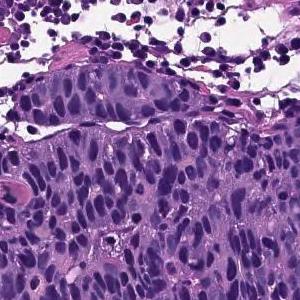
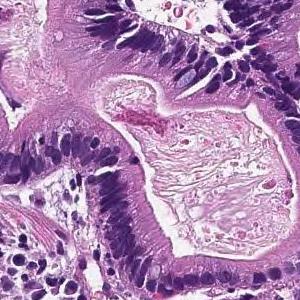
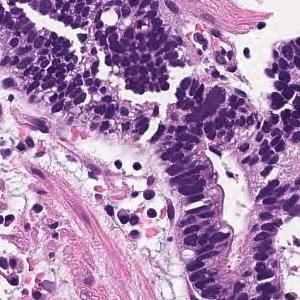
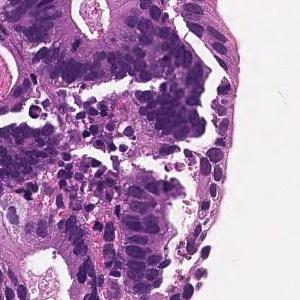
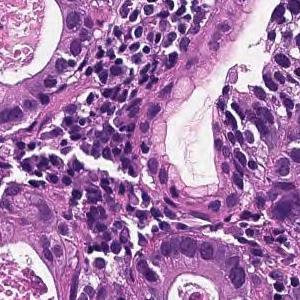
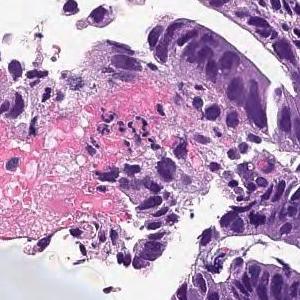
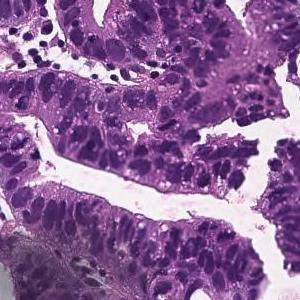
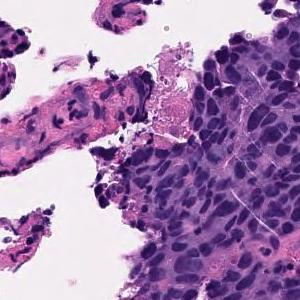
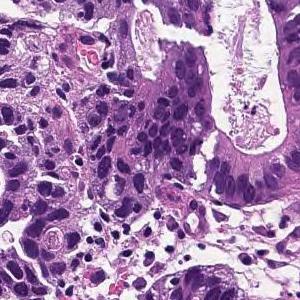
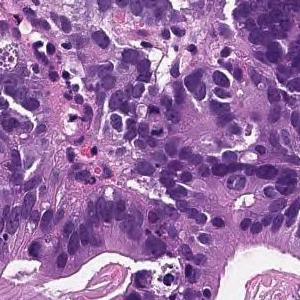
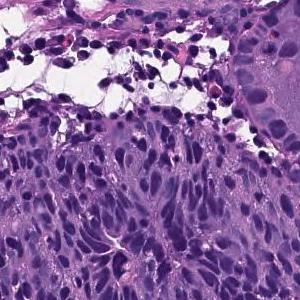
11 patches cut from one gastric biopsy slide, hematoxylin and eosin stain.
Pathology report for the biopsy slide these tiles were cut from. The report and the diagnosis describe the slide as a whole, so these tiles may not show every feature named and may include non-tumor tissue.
In the superficial epithelium, tumor tissue that invades by forming medium-sized to small, irregular ducts is observed. moderately differentiated tubular adenocarcinoma.
